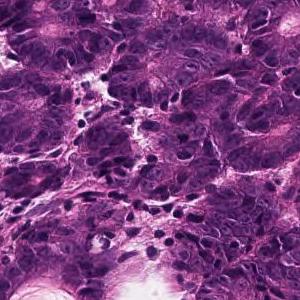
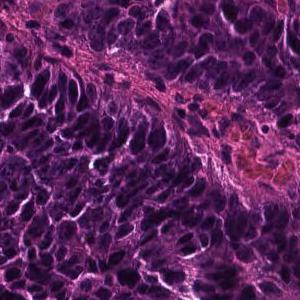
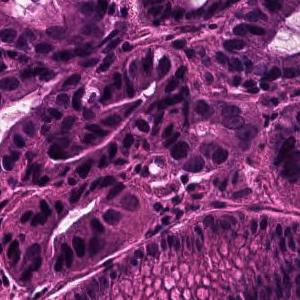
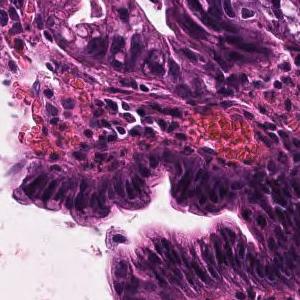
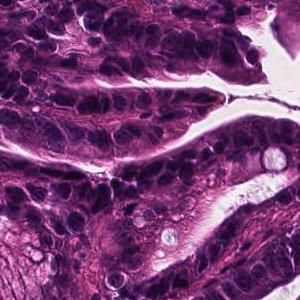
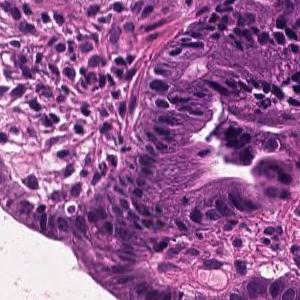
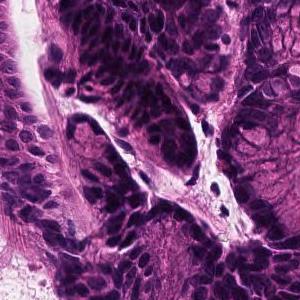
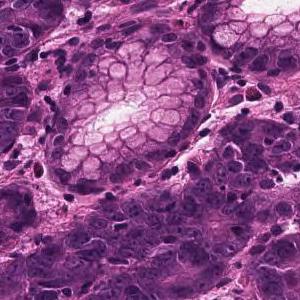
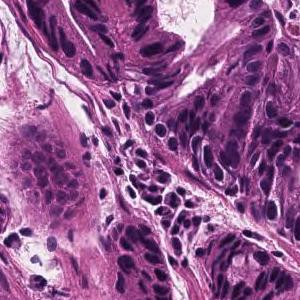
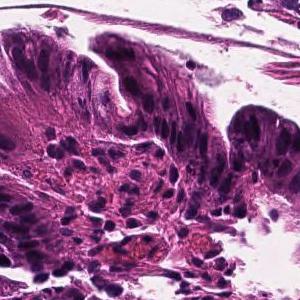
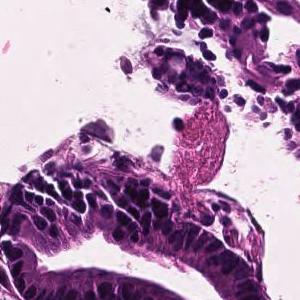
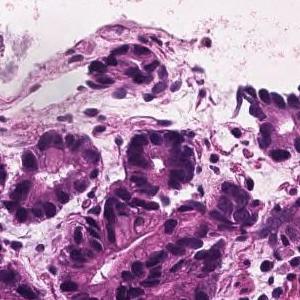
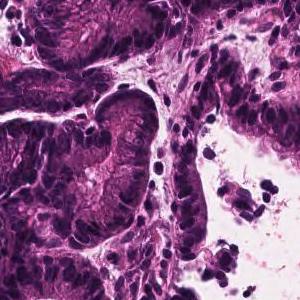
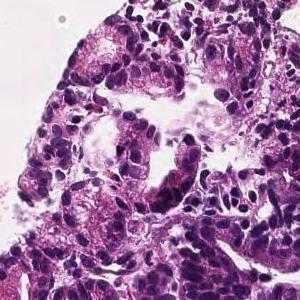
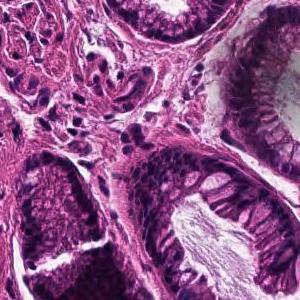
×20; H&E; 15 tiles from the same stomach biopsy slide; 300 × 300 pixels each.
Pathology report for the biopsy slide these tiles were cut from. The report and the diagnosis describe the slide as a whole, so these tiles may not show every feature named and may include non-tumor tissue.
In the superficial epithelium, tumor tissue that invades by forming medium-sized to small, irregular ducts is observed. Well differentiated tubular adenocarcinoma.
